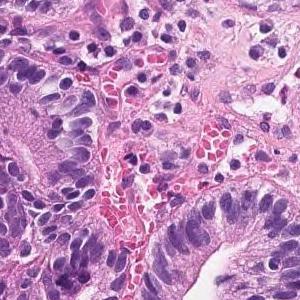
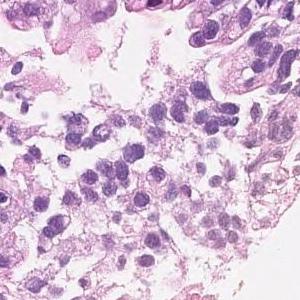
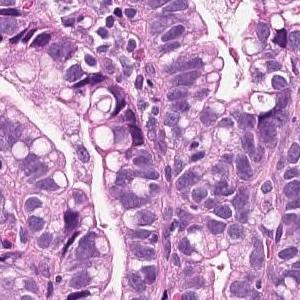
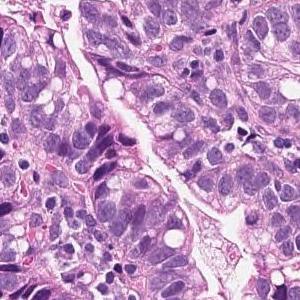
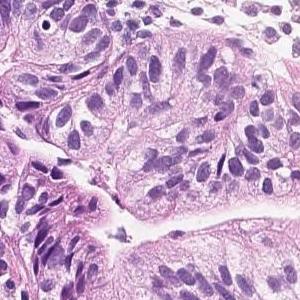
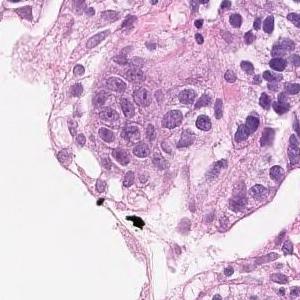
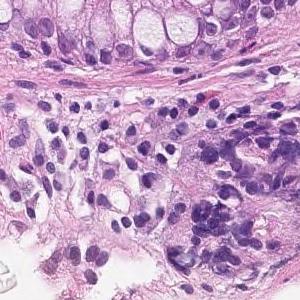
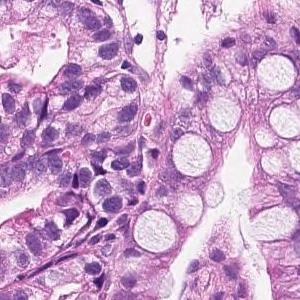
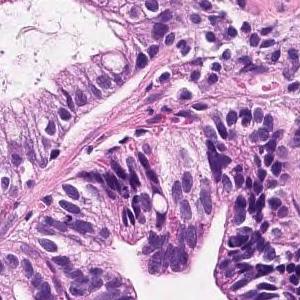
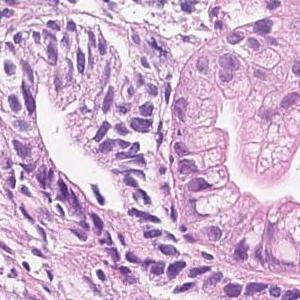
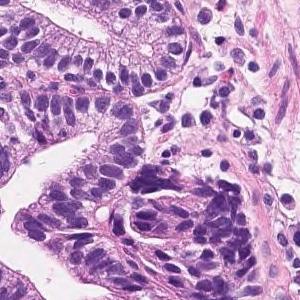
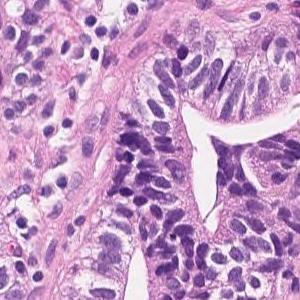
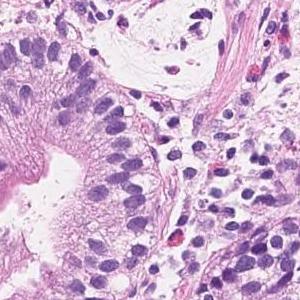
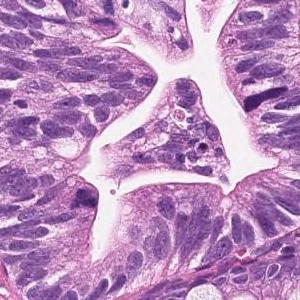
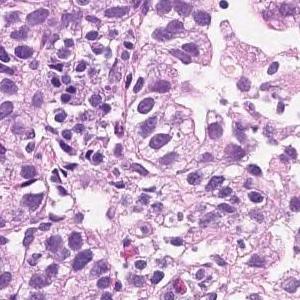
H&E stain; 15 image tiles from a single gastric biopsy slide.
Pathology report for the biopsy slide these tiles were cut from. What the report and the diagnosis say applies to the whole slide; these tiles may miss some of the features named and may include tissue that is not tumor.
On the superficial epithelium, there is a tumor tissue consisting of medium to small, irregular tubules that are partially fused and proliferated. Well to moderately differentiated tubular adenocarcinoma
